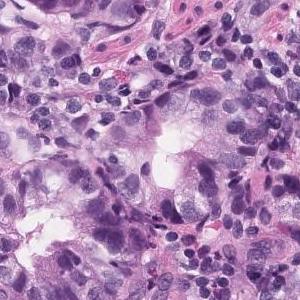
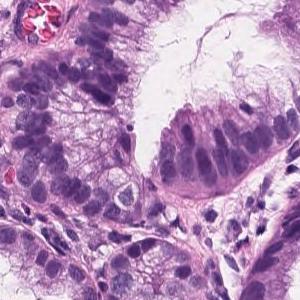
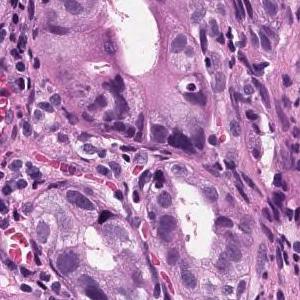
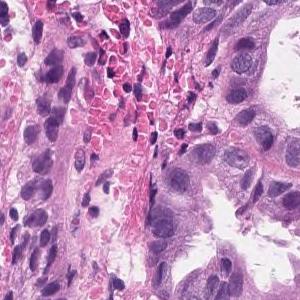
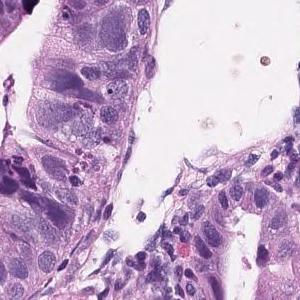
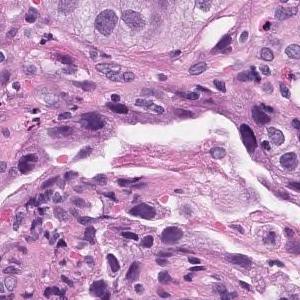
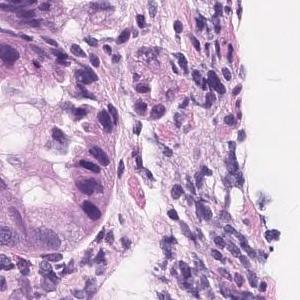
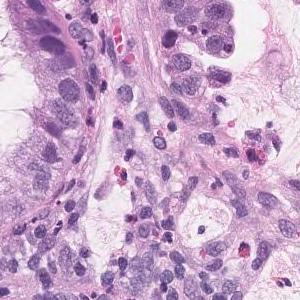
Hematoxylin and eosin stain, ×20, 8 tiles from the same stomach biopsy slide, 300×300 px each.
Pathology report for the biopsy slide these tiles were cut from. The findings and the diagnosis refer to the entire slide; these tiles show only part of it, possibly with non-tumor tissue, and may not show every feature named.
Tumor tissue consisting of medium-sized and irregular ducts is observed infiltrating in the superficial epithelium. Tumor cells are highly columnar, with nuclei aligned basolaterally and polarized. Well differentiated tubular adenocarcinoma.
